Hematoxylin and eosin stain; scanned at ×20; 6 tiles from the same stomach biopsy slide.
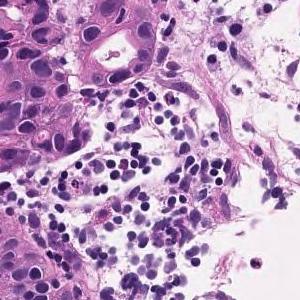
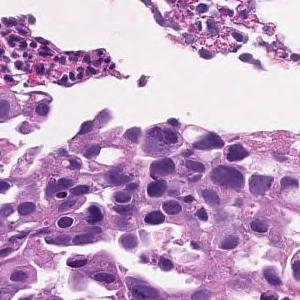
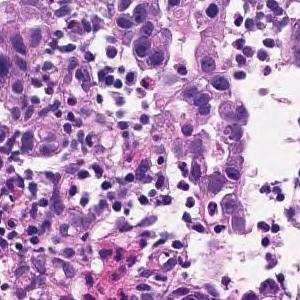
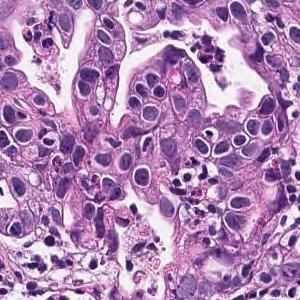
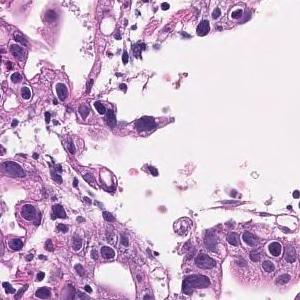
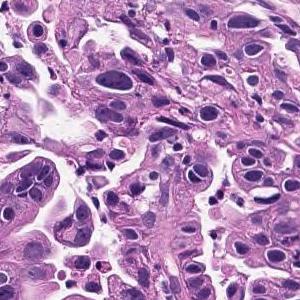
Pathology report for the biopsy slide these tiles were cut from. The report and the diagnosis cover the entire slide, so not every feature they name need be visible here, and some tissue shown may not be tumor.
In the superficial epithelium, tumor tissue that invades by forming medium-sized to small, irregular ducts is observed. moderately differentiated tubular adenocarcinoma.
